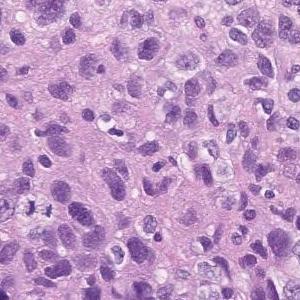
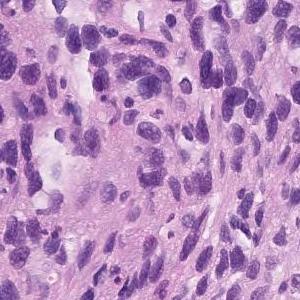
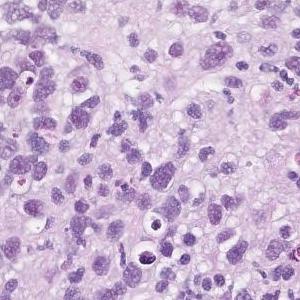
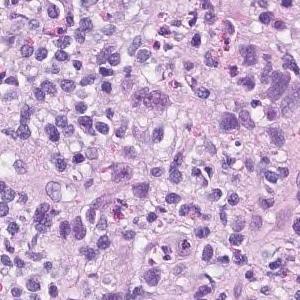
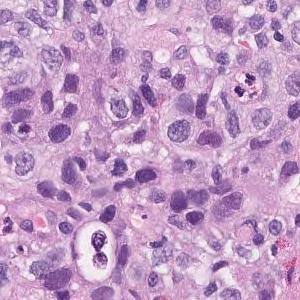
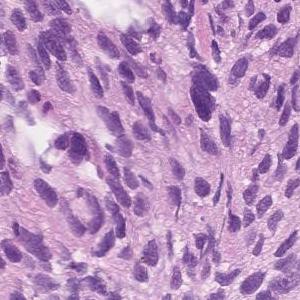
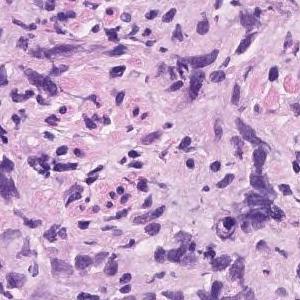
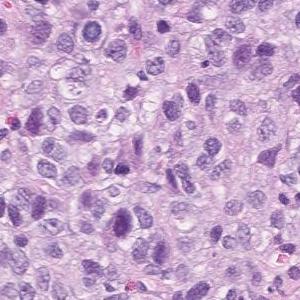
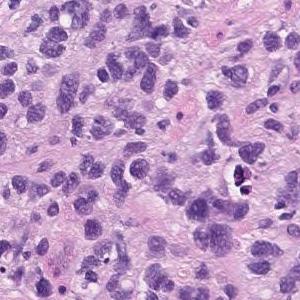
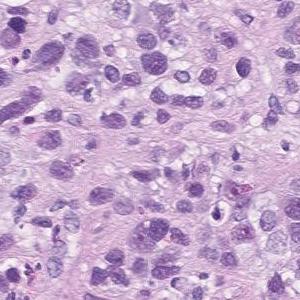
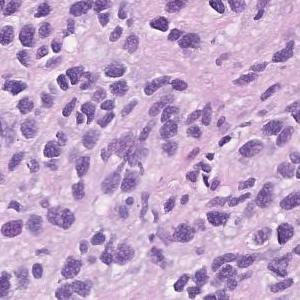
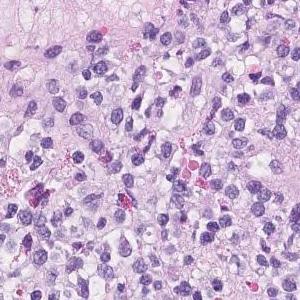
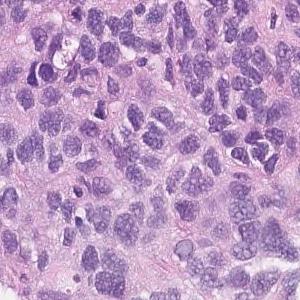
H&E; ×20; 13 image tiles from a single gastric biopsy slide.
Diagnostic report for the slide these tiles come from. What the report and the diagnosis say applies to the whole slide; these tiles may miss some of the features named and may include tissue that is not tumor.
Atypical l cells with atypical nuclei under the mucosa growing in isolation and scattered. Poorly differentiated adenocarcinoma (poorly differentiated adenocarcinoma, non-solid type)
Histological subtype: Poorly differentiated adenocarcinoma, non-solid type.
The non-solid type named here is a Japanese Classification of Gastric Carcinoma category.
